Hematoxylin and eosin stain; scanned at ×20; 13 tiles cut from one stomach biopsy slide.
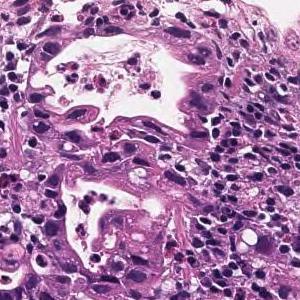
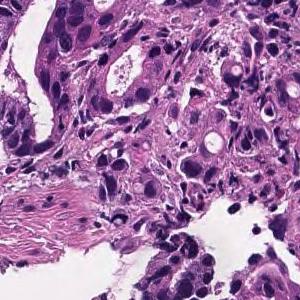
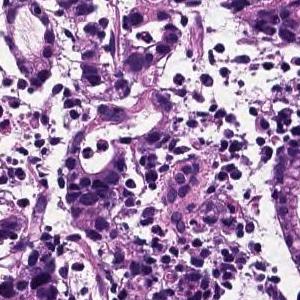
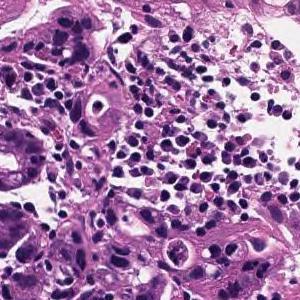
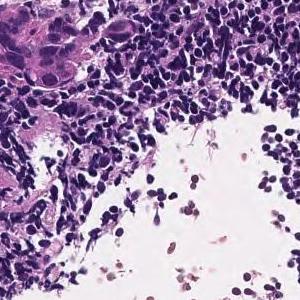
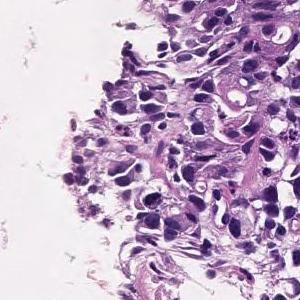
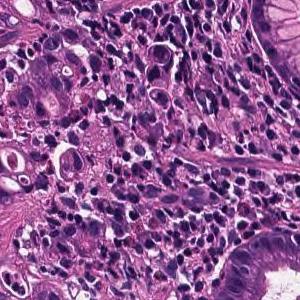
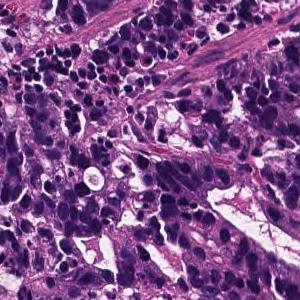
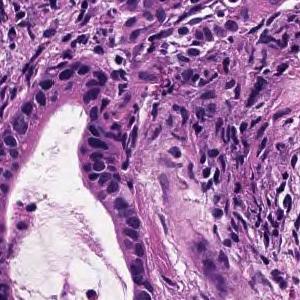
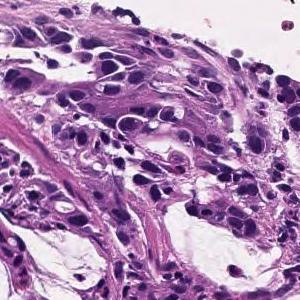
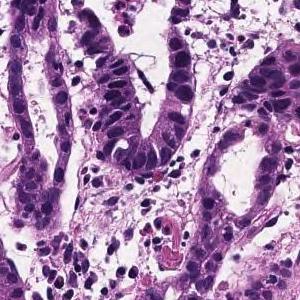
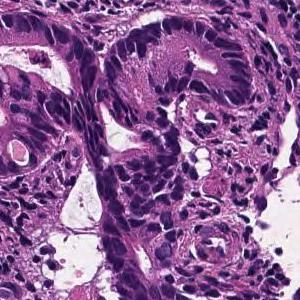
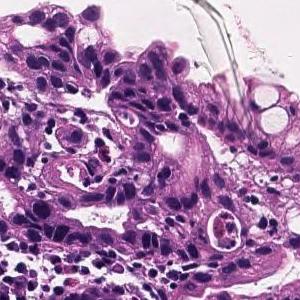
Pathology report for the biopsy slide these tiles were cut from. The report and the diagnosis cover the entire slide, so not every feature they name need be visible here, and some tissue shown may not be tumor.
In the superficial epithelium, tumor tissue that invades by forming medium-sized to small, irregular ducts is observed. moderately differentiated tubular adenocarcinoma.
